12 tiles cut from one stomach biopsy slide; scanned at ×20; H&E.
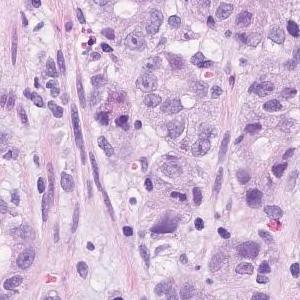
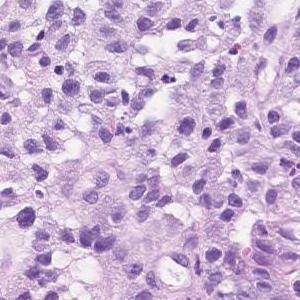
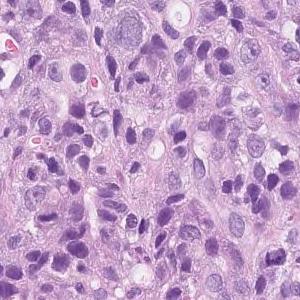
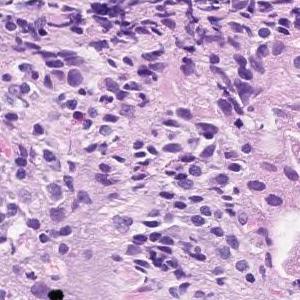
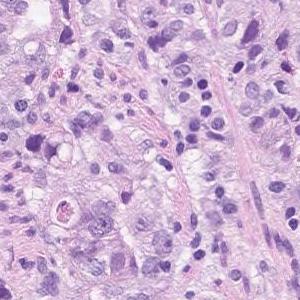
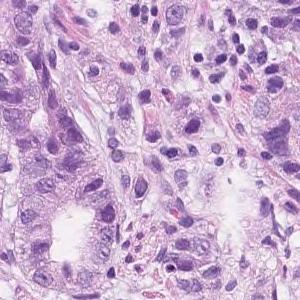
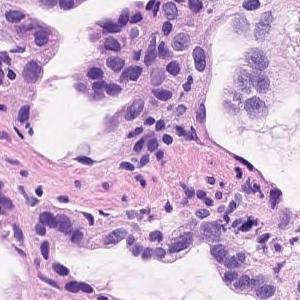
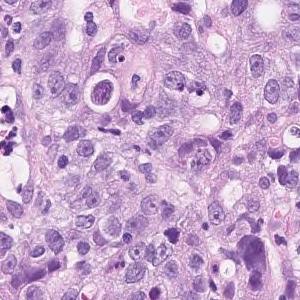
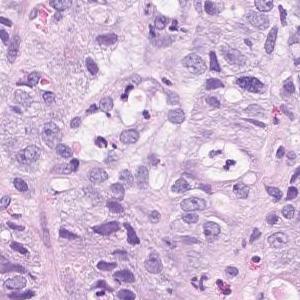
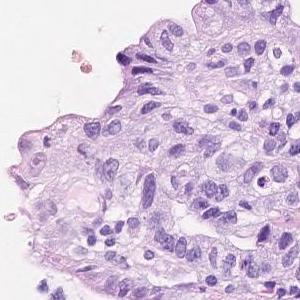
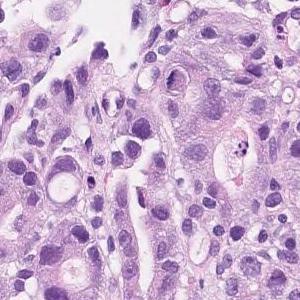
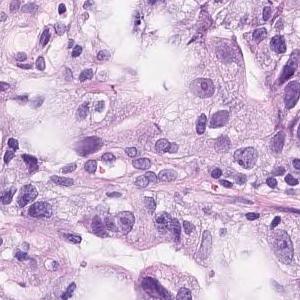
Diagnostic report for the slide these tiles come from. What the report and the diagnosis say applies to the whole slide; these tiles may miss some of the features named and may include tissue that is not tumor.
In the superficial epithelium, tumor tissue that invades by forming medium-sized to small, irregular ducts is observed. Moderately to poorly differentiated adenocarcinoma
